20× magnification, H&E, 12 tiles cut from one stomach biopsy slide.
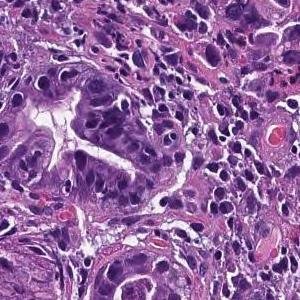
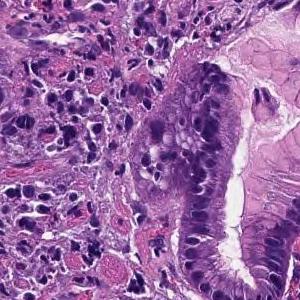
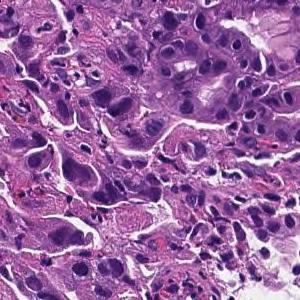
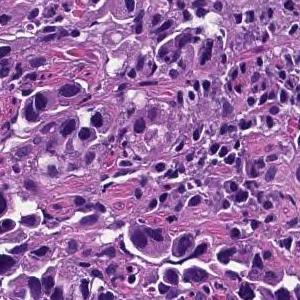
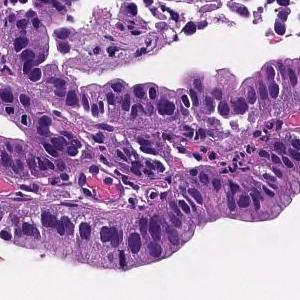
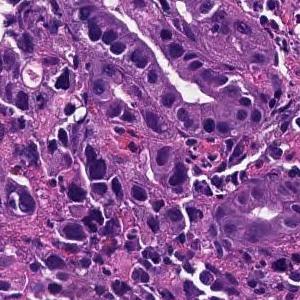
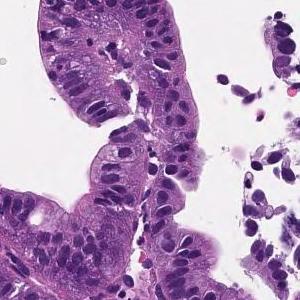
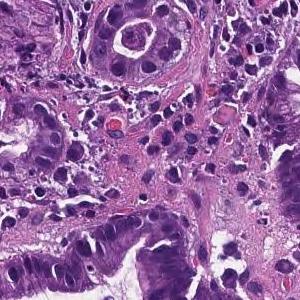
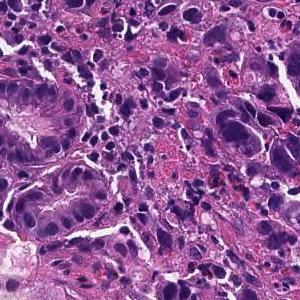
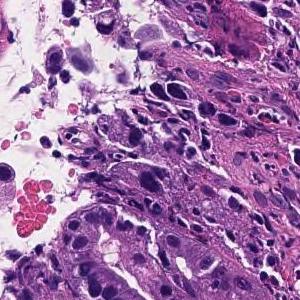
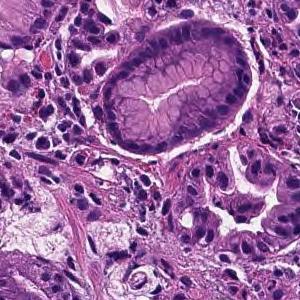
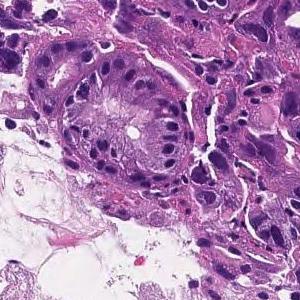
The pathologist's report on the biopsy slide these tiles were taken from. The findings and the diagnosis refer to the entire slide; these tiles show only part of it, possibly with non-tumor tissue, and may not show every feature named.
Tumor tissue consisting of medium-sized, cord-like or irregular glandular infiltration is observed in the superficial epithelium. Poorly differentiated adenocarcinoma, non-solid type or moderately differentiated tubular adenocarcinoma
Tumor subtype: moderately to poorly differentiated adenocarcinoma.
The non-solid type named here is a Japanese Classification of Gastric Carcinoma category.
